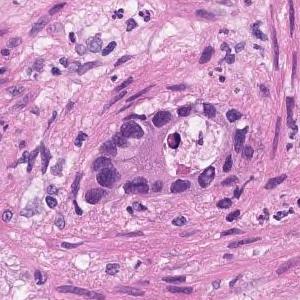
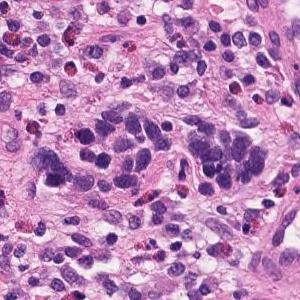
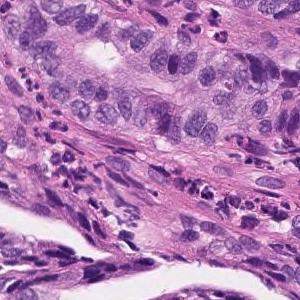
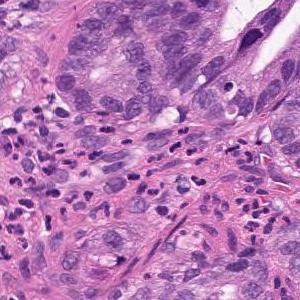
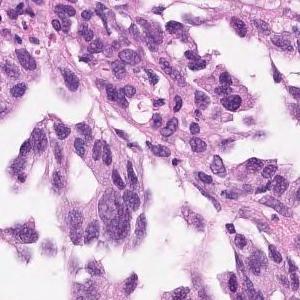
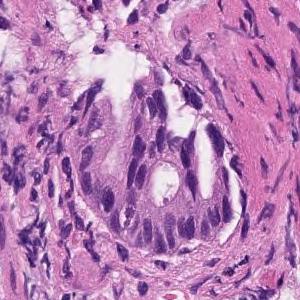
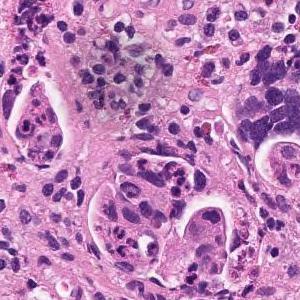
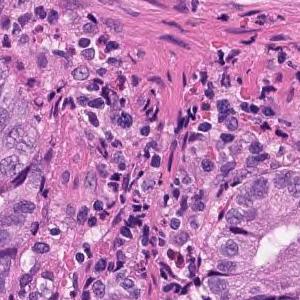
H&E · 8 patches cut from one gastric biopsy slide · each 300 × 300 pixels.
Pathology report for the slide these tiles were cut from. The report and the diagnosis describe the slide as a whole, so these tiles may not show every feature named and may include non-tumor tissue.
Atypical epithelium forming papillary or sieving ducts and infiltrating growth is observed. Papillary adenocarcinoma.
